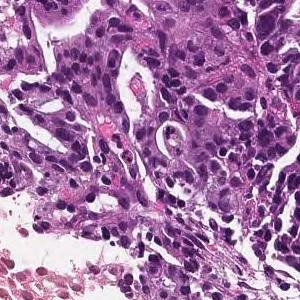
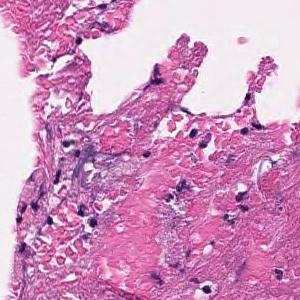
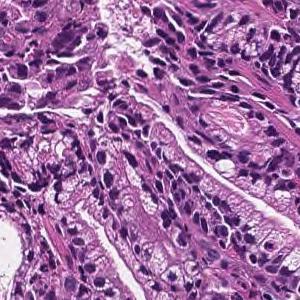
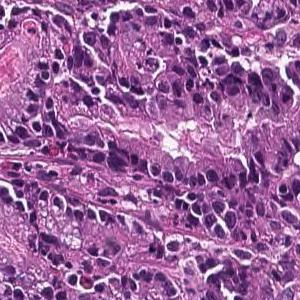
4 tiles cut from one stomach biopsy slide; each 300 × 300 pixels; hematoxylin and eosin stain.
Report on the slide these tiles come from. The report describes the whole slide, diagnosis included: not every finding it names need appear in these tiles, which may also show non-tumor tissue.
On the superficial epithelium, tumor tissue that infiltrates by forming medium-sized papillary or small irregular ducts is observed. Papillary adenocarcinoma
